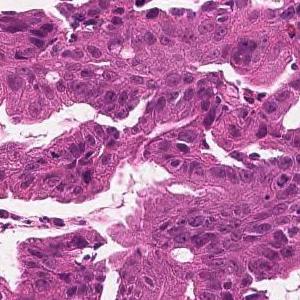
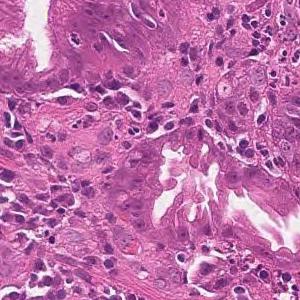
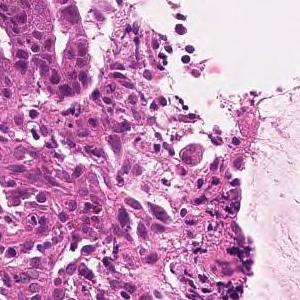
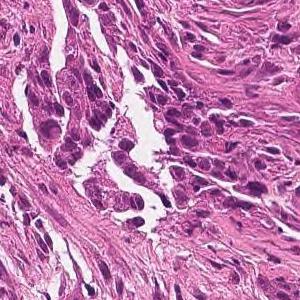
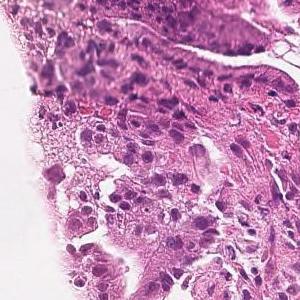
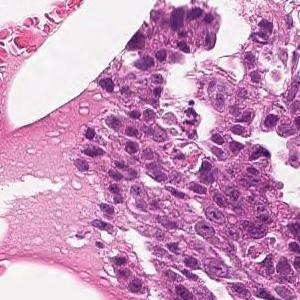
6 tiles cut from one stomach biopsy slide · hematoxylin and eosin stain · ×20.
Pathology report for the biopsy slide these tiles were cut from. The report and the diagnosis cover the entire slide, so not every feature they name need be visible here, and some tissue shown may not be tumor.
Tumor tissue consisting of large papillary structures is found in the superficial epithelium. Papillary adenocarcinoma.
